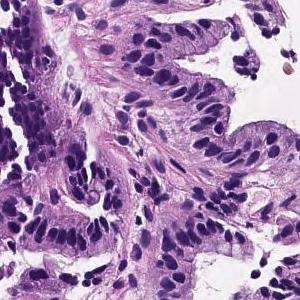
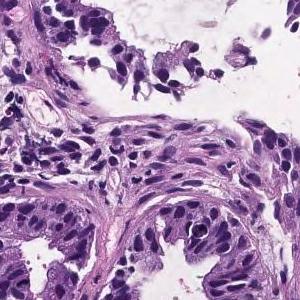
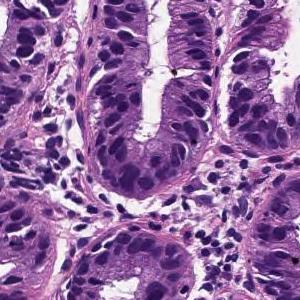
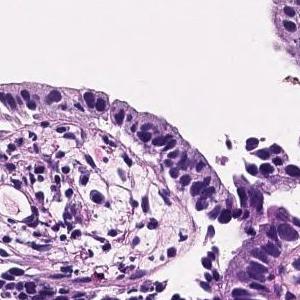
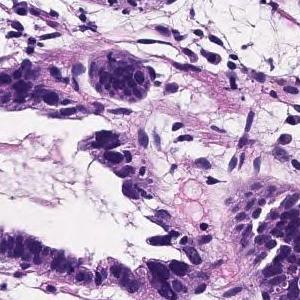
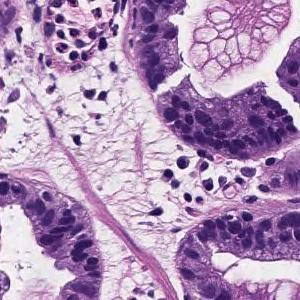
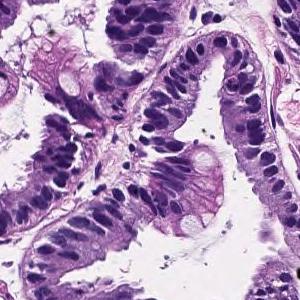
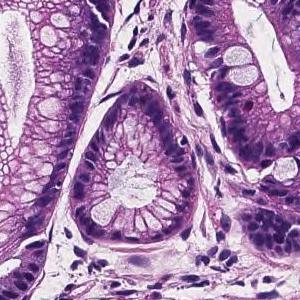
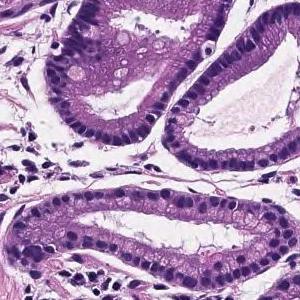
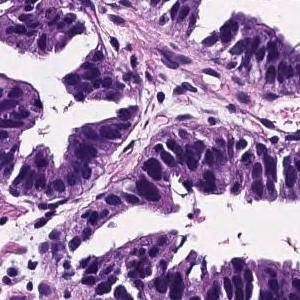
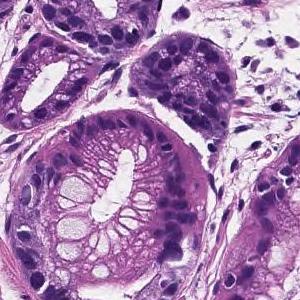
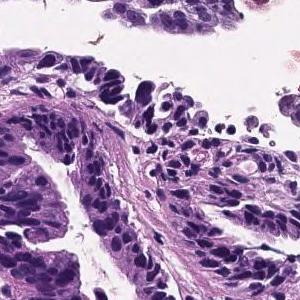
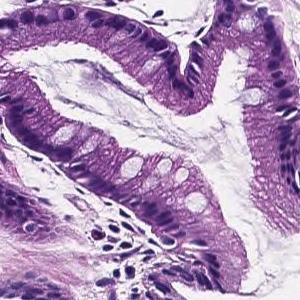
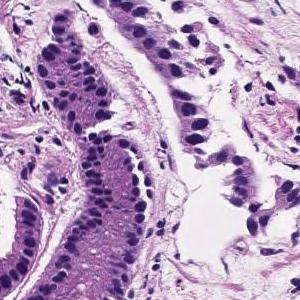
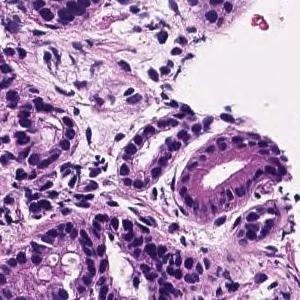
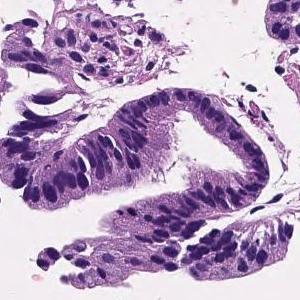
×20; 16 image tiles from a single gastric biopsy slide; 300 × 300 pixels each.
The pathologist's report on the biopsy slide these tiles were taken from. The report and the diagnosis cover the entire slide, so not every feature they name need be visible here, and some tissue shown may not be tumor.
Tumor cells are large, highly columnar, large club-shaped nuclei, and are associated with chromatin aggregation. Papillary adenocarcinoma.
